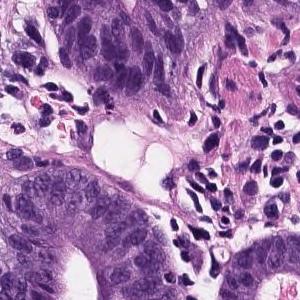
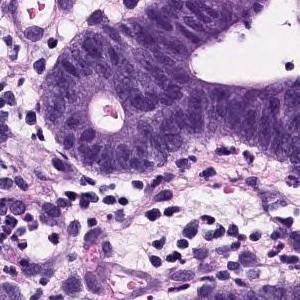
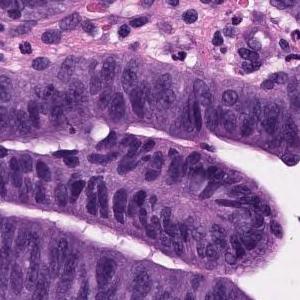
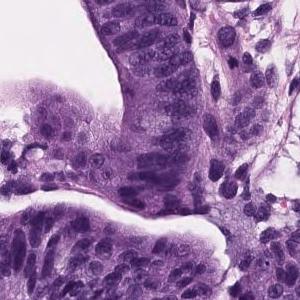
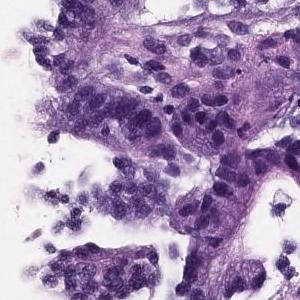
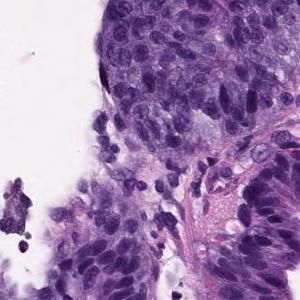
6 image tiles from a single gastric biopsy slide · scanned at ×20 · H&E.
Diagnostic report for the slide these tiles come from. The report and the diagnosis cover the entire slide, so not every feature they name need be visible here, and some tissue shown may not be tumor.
Papillo-tubular growth of atypical tubules with nuclear swelling is observed. Well differentiated tubular adenocarcinoma
